H&E · 8 tiles cut from one stomach biopsy slide · 300×300 px each.
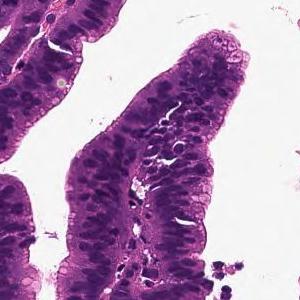
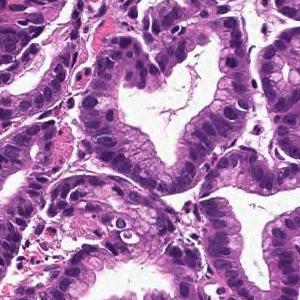
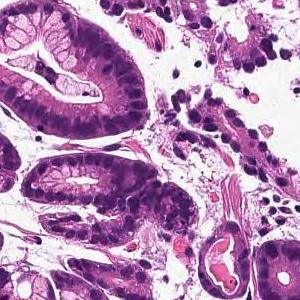
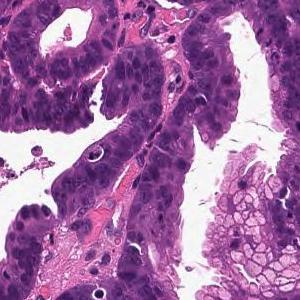
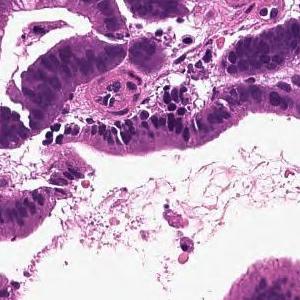
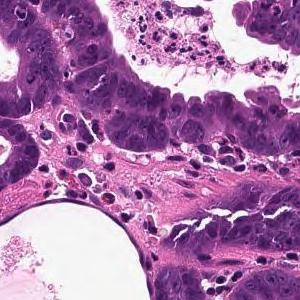
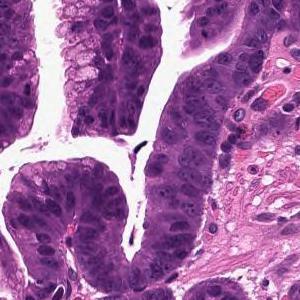
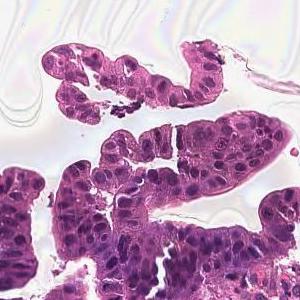
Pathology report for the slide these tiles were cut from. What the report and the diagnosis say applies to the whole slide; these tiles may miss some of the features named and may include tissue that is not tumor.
From the superficial epithelium to the muscularis mucosae, tumor tissue consisting of medium-sized and irregular glandular ducts infiltrating is observed. Well differentiated tubular adenocarcinoma
